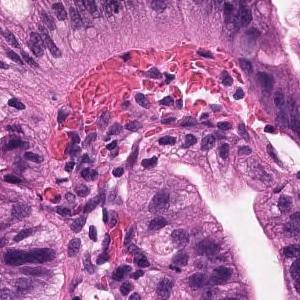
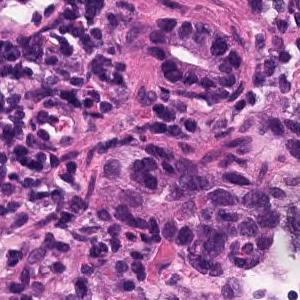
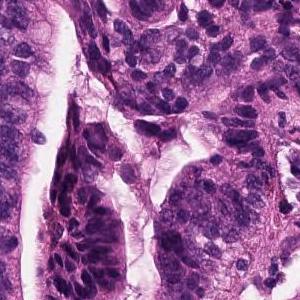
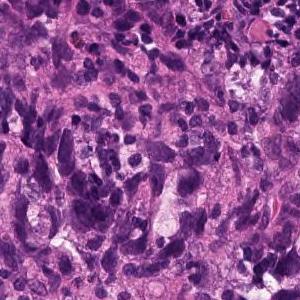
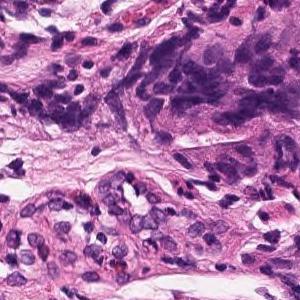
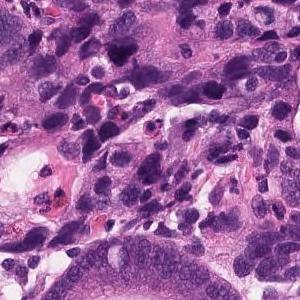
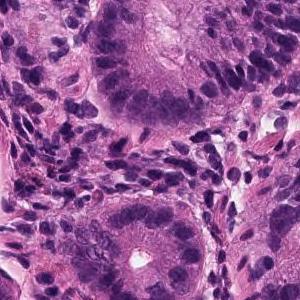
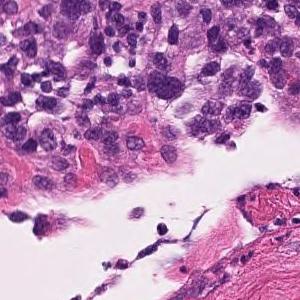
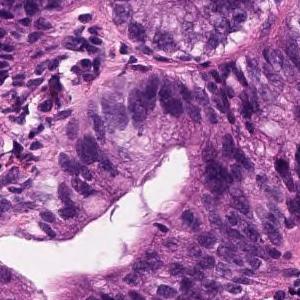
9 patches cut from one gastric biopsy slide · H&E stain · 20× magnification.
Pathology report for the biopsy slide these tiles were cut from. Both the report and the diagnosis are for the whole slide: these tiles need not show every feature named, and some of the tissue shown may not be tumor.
In the superficial epithelium, tumor tissue that invades by forming medium-sized to small, irregular ducts is observed. Moderately differentiated adenocarcinoma.
Tumor subtype: moderately differentiated tubular adenocarcinoma.
